4 image tiles from a single gastric biopsy slide · 300 × 300 pixels each.
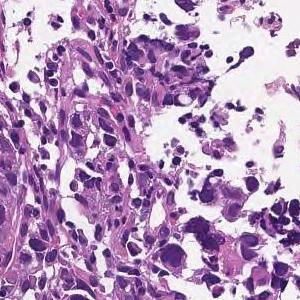
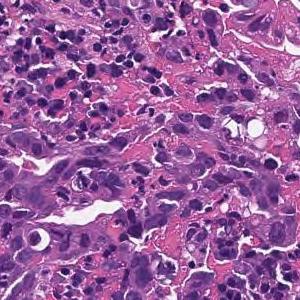
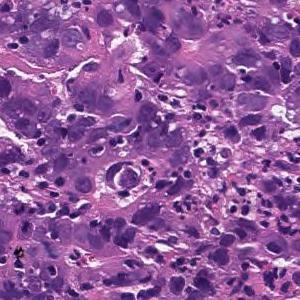
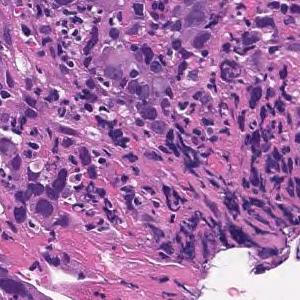
Pathology report for the slide these tiles were cut from. What the report and the diagnosis say applies to the whole slide; these tiles may miss some of the features named and may include tissue that is not tumor.
Tumor tissue consisting of cord-like or small, irregular glandular ducts fused and infiltrated is observed in the superficial epithelium. Poorly differentiated adenocarcinoma, non-solid type
The term "non-solid type" comes from the Japanese Classification of Gastric Carcinoma.
